11 patches cut from one gastric biopsy slide, H&E stain, 20× magnification.
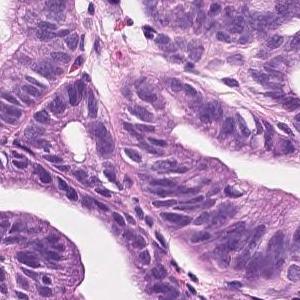
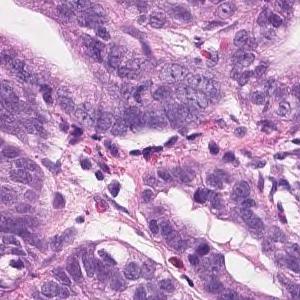
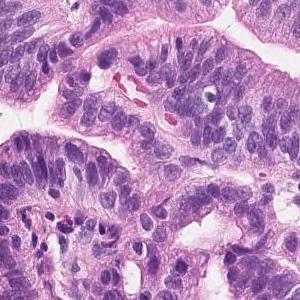
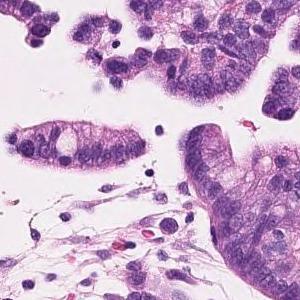
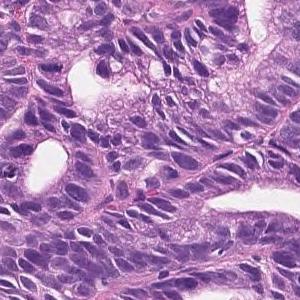
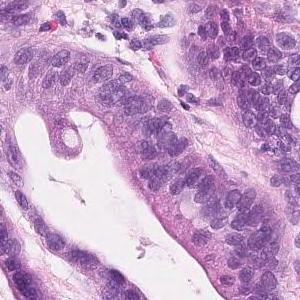
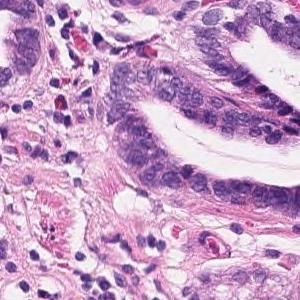
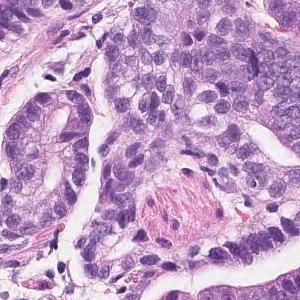
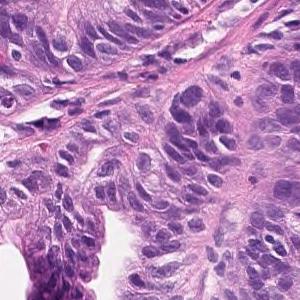
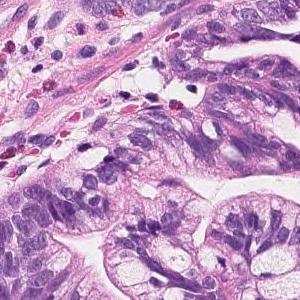
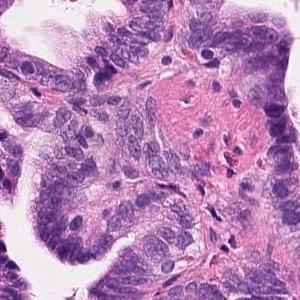
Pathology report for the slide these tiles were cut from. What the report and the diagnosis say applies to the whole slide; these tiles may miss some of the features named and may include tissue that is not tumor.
Tumor cells are large, highly columnar, large club-shaped nuclei, and are associated with chromatin aggregation. Papillary adenocarcinoma.
